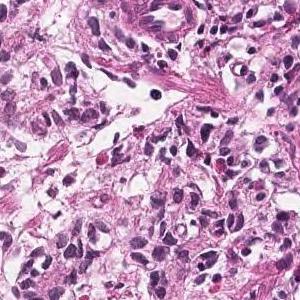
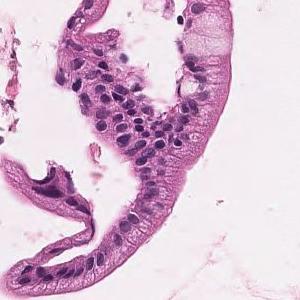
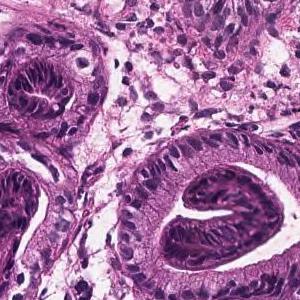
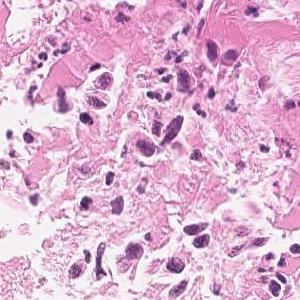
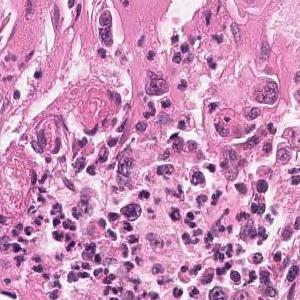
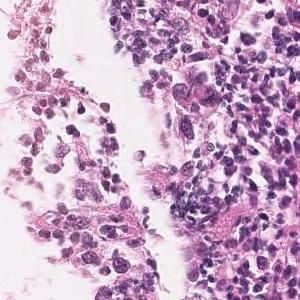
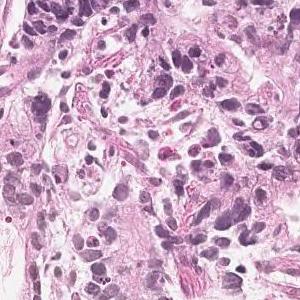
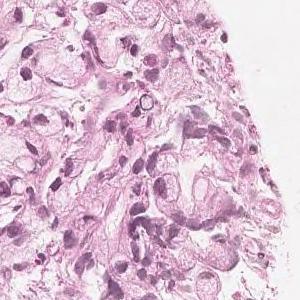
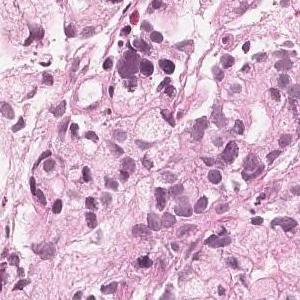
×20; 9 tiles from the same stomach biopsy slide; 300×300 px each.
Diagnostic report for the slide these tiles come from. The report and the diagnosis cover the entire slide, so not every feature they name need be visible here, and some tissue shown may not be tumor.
In the superficial epithelium, medium to small irregular gland ducts are formed, and in some cases, the ducts are fused to show solid alveolar lesions and infiltrating tumor tissue is observed. Moderately to poorly differentiated adenocarcinoma
